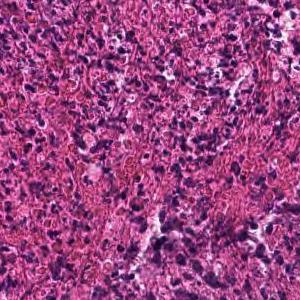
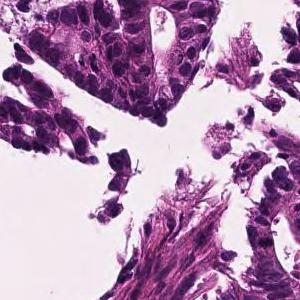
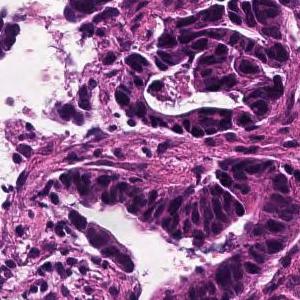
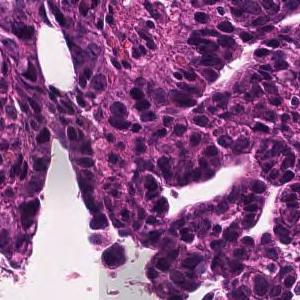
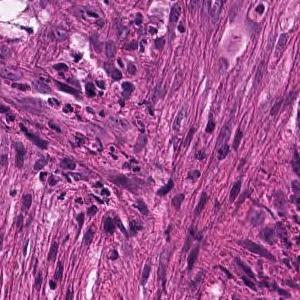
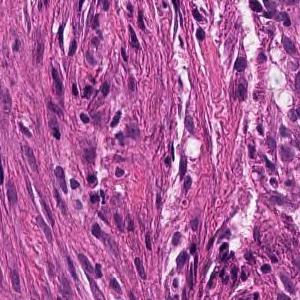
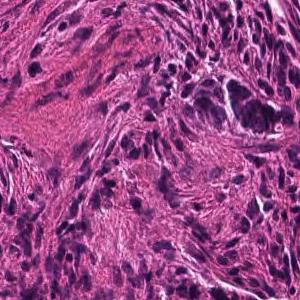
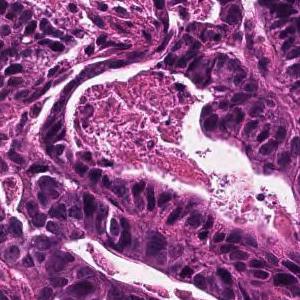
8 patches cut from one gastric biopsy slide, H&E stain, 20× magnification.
The pathologist's report on the biopsy slide these tiles were taken from. The report and the diagnosis describe the slide as a whole, so these tiles may not show every feature named and may include non-tumor tissue.
In the superficial epithelium, tumor tissue that invades by forming medium-sized to small, irregular ducts is observed. moderately differentiated tubular adenocarcinoma.
